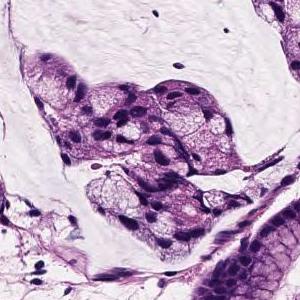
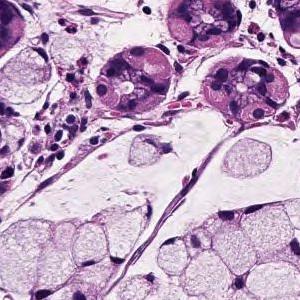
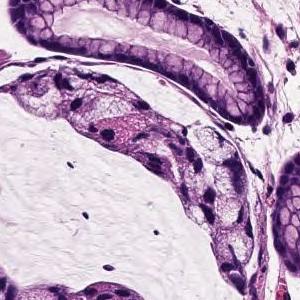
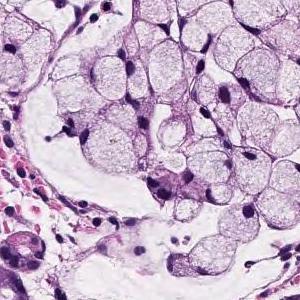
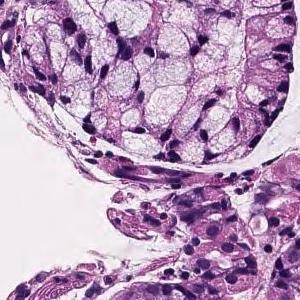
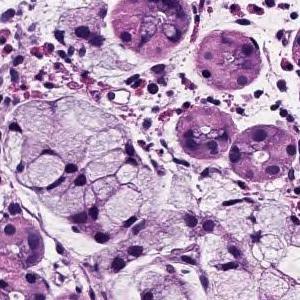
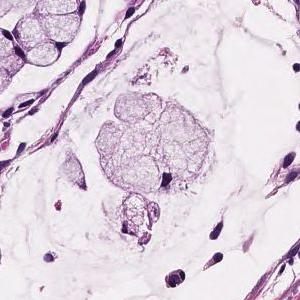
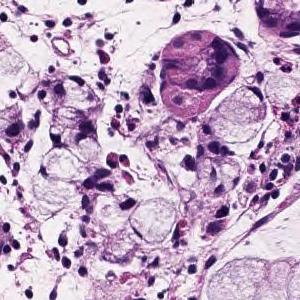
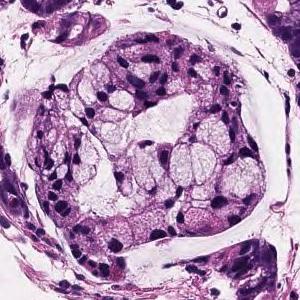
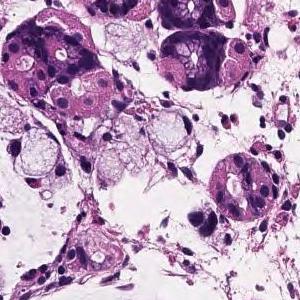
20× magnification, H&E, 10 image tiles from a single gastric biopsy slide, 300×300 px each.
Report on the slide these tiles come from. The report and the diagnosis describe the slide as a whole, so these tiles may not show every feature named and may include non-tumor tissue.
Tumor tissue consisting of signet ring cell type atypical epithelial cells invading the lymphatic vessels of the lamina propria is observed. Signet ring cell carcinoma.
